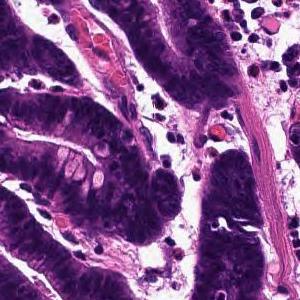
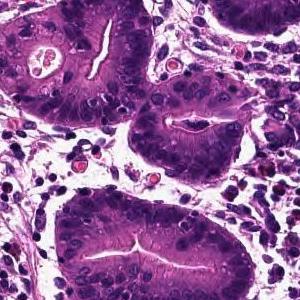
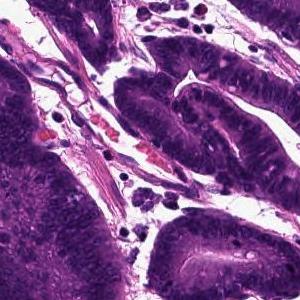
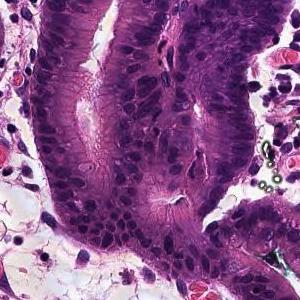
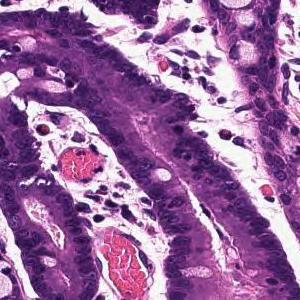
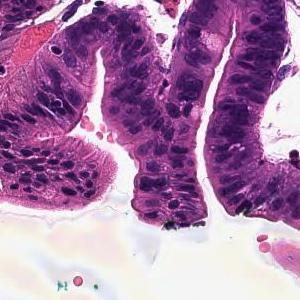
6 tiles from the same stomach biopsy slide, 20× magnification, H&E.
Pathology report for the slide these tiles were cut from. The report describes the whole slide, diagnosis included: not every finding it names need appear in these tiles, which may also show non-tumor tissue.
Tumor tissue that infiltrates by forming large papillary or large irregular glandular ducts is observed confined to the mucosa. Papillary adenocarcinoma
